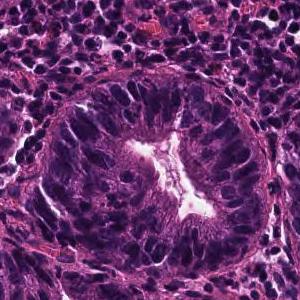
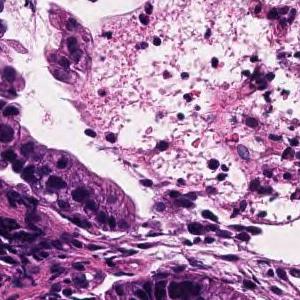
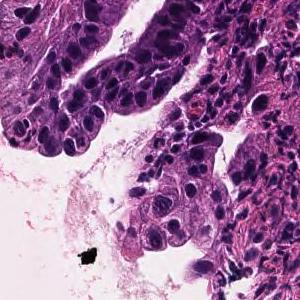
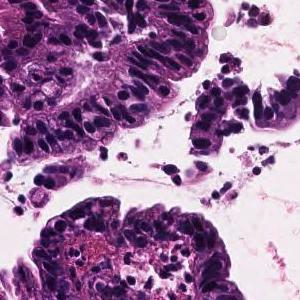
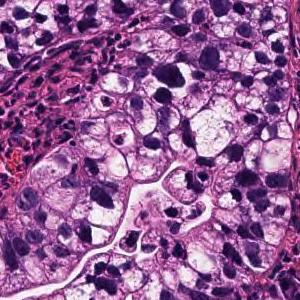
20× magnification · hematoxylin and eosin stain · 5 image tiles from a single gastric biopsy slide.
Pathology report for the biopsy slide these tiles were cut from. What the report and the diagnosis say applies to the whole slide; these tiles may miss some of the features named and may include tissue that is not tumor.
Tumor cells are large, highly columnar, large club-shaped nuclei, and are associated with chromatin aggregation. Papillary adenocarcinoma.
